Scanned at ×20 · 4 image tiles from a single gastric biopsy slide · 300×300 px each.
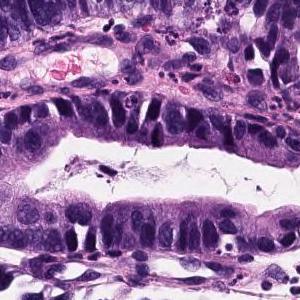
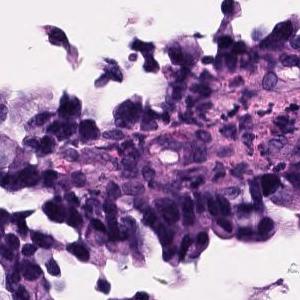
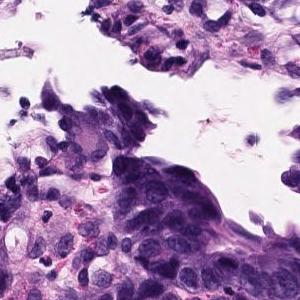
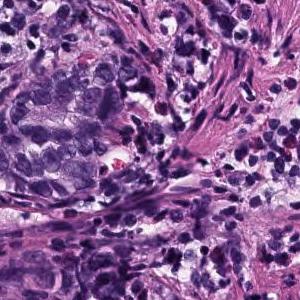
Report on the slide these tiles come from. What the report and the diagnosis say applies to the whole slide; these tiles may miss some of the features named and may include tissue that is not tumor.
Atypical epithelium proliferating showing villus construction and irregular gland duct construction is observed. Moderately differentiated tubular adenocarcinoma.
